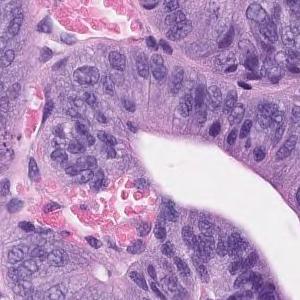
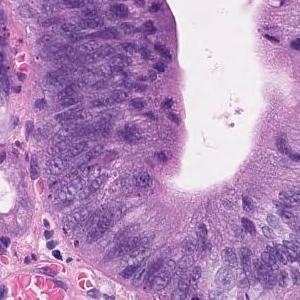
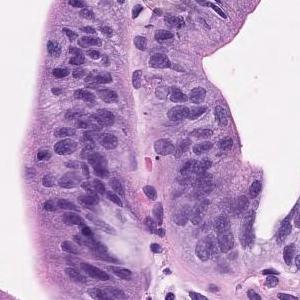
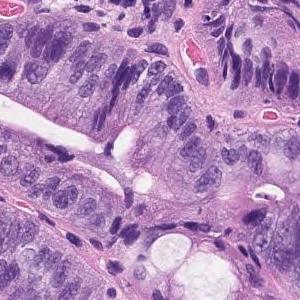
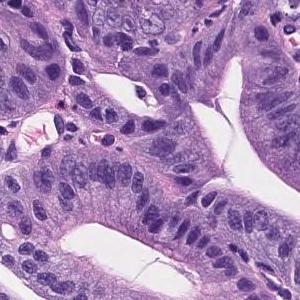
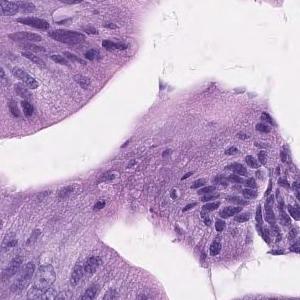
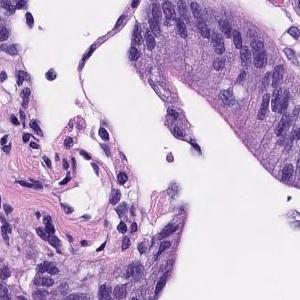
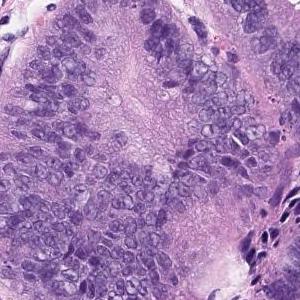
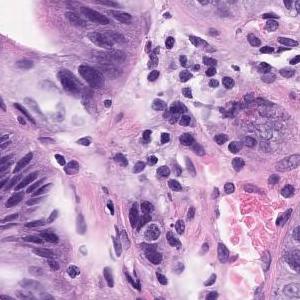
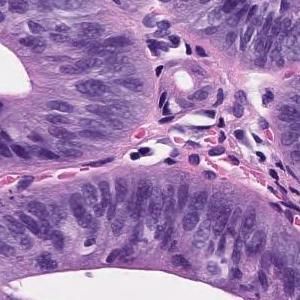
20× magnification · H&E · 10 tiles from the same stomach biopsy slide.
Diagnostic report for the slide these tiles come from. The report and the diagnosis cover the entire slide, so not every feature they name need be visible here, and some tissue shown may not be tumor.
On the superficial epithelium, tumor tissue consisting of images of atypical ducts of different sizes partially fused and densely proliferating is observed. Well differentiated tubular adenocarcinoma
